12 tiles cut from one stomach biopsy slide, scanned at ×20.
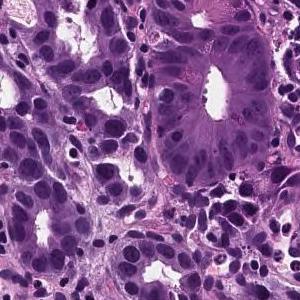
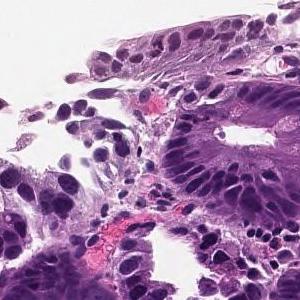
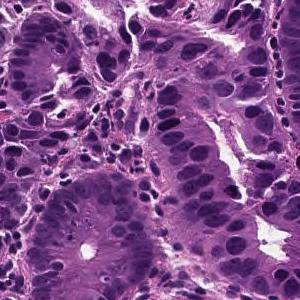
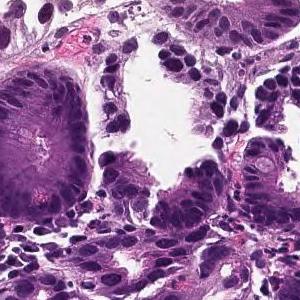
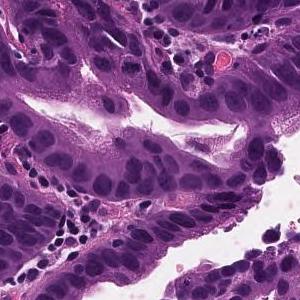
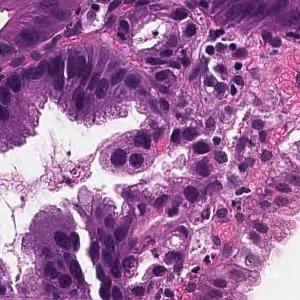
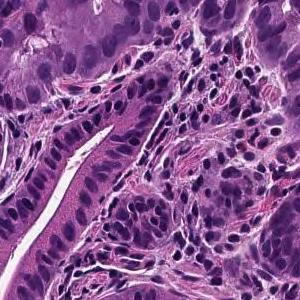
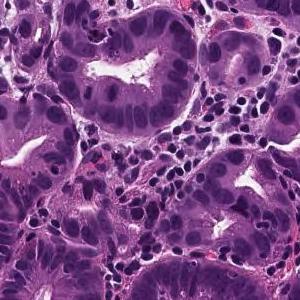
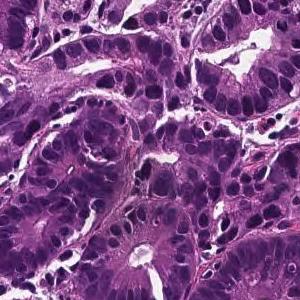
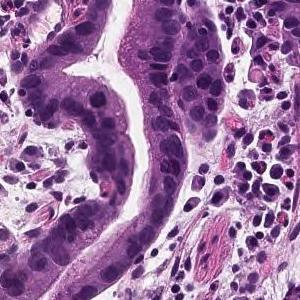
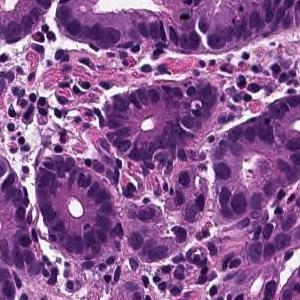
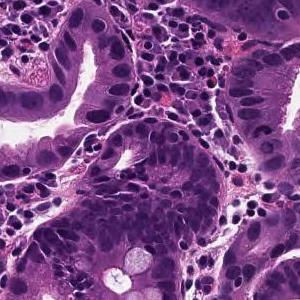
Pathology report for the slide these tiles were cut from. The report and the diagnosis cover the entire slide, so not every feature they name need be visible here, and some tissue shown may not be tumor.
From the superficial epithelium to the muscularis mucosae, tumor tissue consisting of medium-sized and irregular glandular ducts infiltrating is observed. Well differentiated tubular adenocarcinoma
